Scanned at ×20; H&E stain; 6 patches cut from one gastric biopsy slide; 300×300 px each.
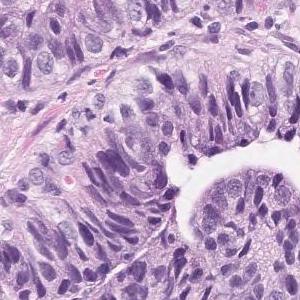
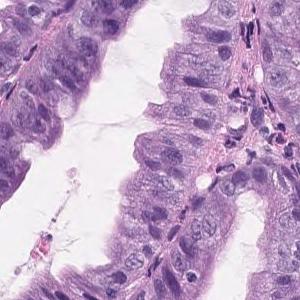
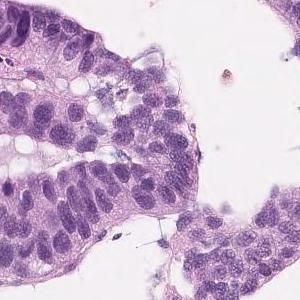
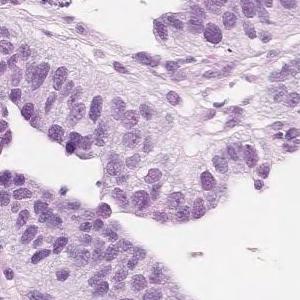
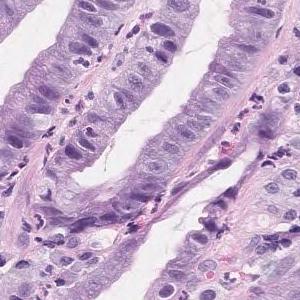
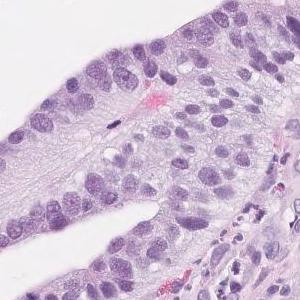
Diagnostic report for the slide these tiles come from. The report describes the whole slide, diagnosis included: not every finding it names need appear in these tiles, which may also show non-tumor tissue.
Tumor tissue in which highly columnar atypical epithelial cells with nuclear enlargement and increased nuclear chromatin show papillary to papillary ductal structure and proliferate is observed. Papillary adenocarcinoma.
